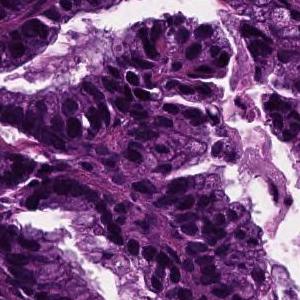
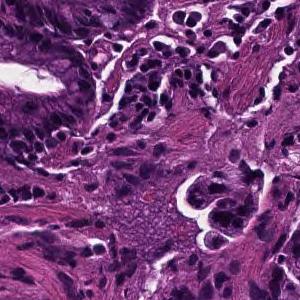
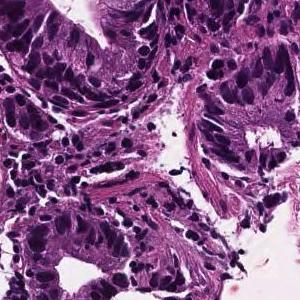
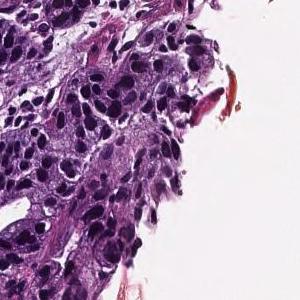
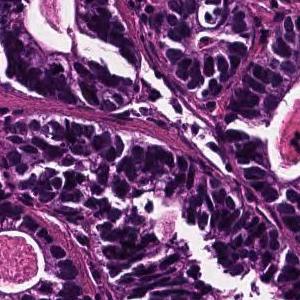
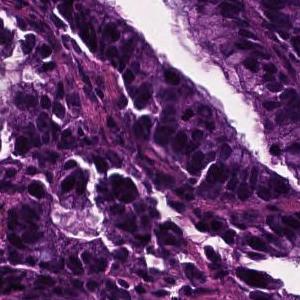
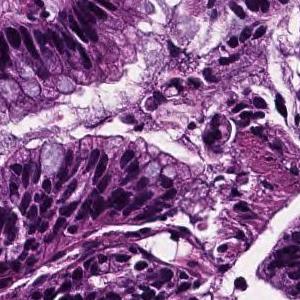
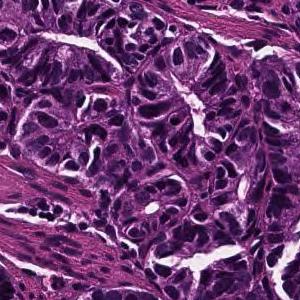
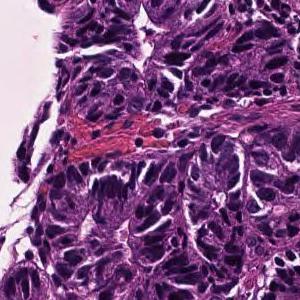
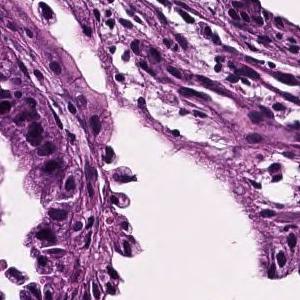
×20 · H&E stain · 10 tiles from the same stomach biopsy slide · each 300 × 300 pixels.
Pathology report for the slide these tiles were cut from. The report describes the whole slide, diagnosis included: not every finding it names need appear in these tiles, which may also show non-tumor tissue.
In the superficial epithelium, tumor tissue that invades by forming medium-sized to small, irregular ducts is observed. Well differentiated tubular adenocarcinoma.
